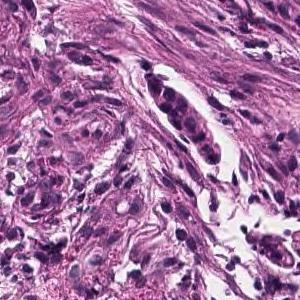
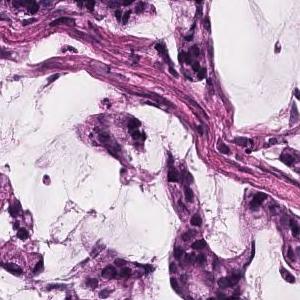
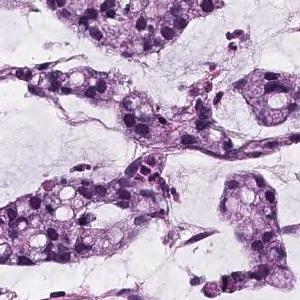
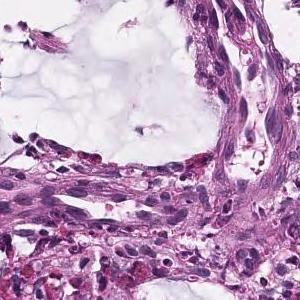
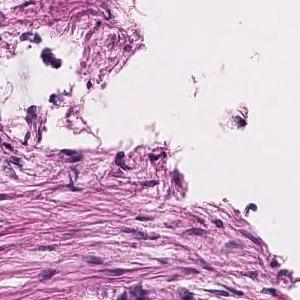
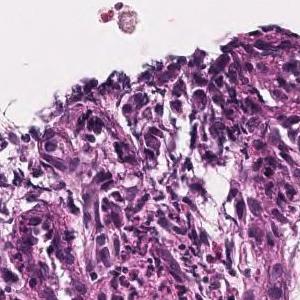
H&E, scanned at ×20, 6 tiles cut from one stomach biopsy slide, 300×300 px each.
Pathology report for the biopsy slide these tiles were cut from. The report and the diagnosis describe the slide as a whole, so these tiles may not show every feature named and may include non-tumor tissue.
Atypical epithelial cells form obscure ductal structures or small solid follicles, and tumor tissue that proliferates invasively with proliferation of inflammatory granulation tissue is observed. Mucinous adenocarcinoma .
